8 tiles cut from one stomach biopsy slide · H&E · scanned at ×20.
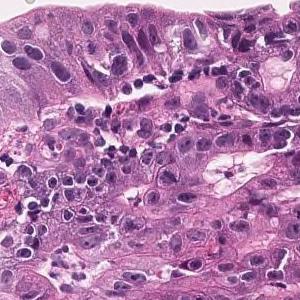
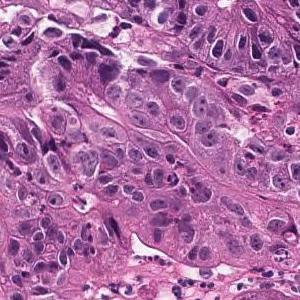
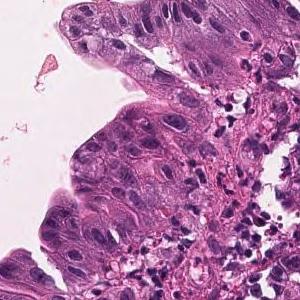
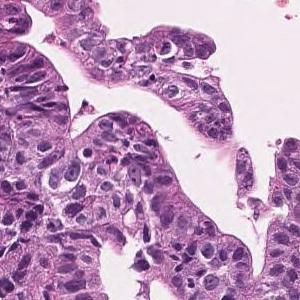
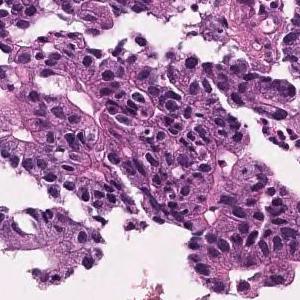
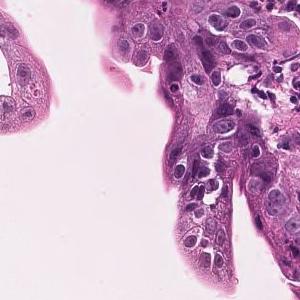
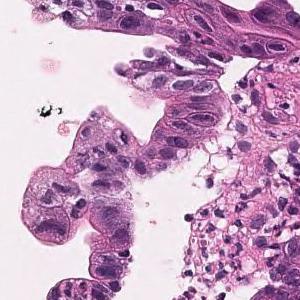
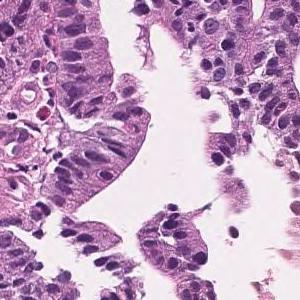
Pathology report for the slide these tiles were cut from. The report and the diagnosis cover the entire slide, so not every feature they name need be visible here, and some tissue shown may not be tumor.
In the superficial epithelium, tumor tissue that invades by forming medium-sized to small, irregular ducts is observed. Well differentiated tubular adenocarcinoma.
